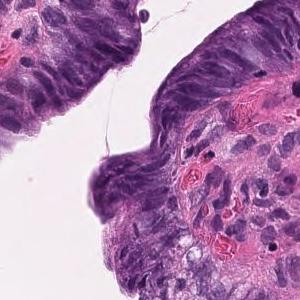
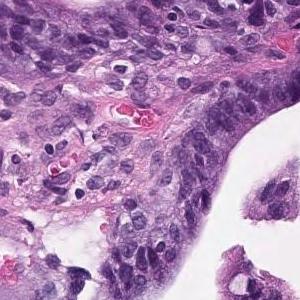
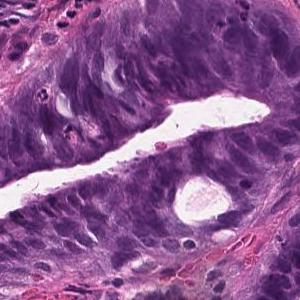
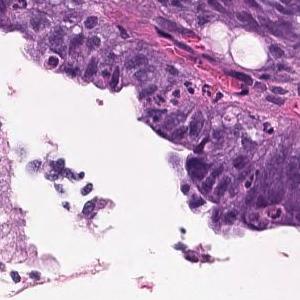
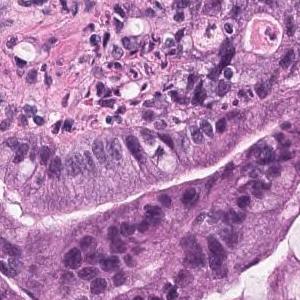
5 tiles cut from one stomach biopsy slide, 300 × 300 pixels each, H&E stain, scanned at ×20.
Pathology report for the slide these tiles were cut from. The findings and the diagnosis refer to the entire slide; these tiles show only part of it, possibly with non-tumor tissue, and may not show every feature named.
Large atypical epithelial cells with swollen atypical nuclei are seen proliferating into a tubular fusion gland. moderately differentiated tubular adenocarcinoma
